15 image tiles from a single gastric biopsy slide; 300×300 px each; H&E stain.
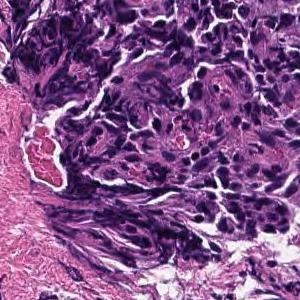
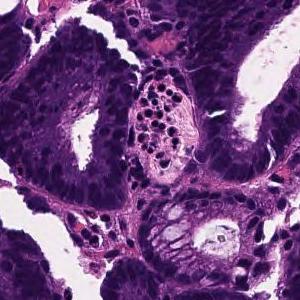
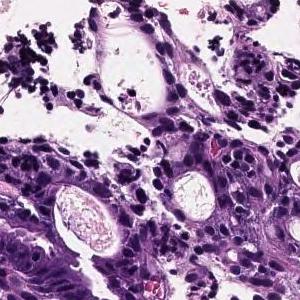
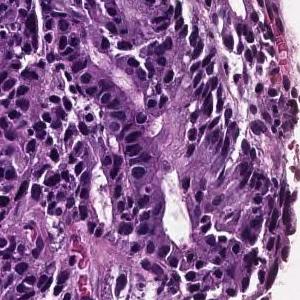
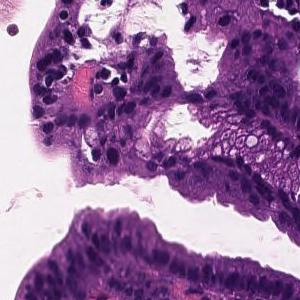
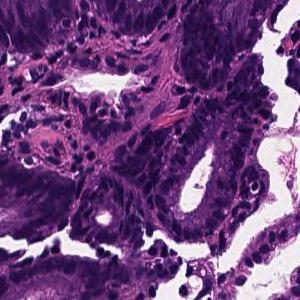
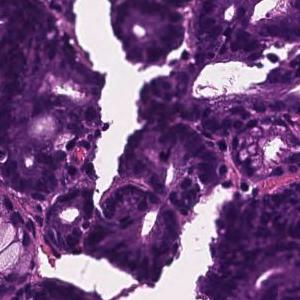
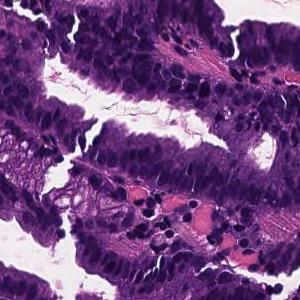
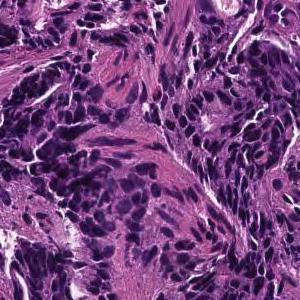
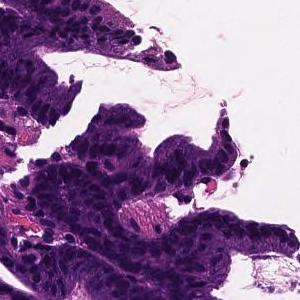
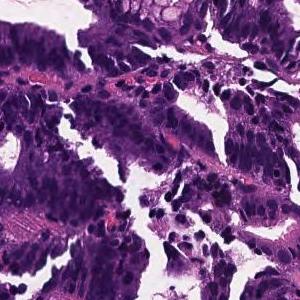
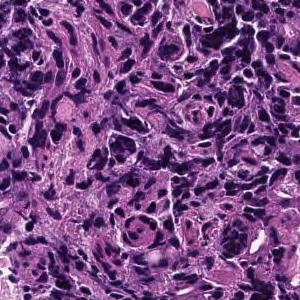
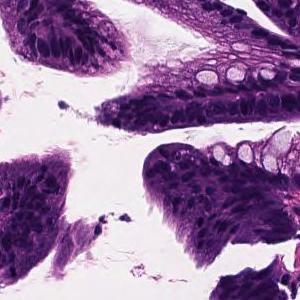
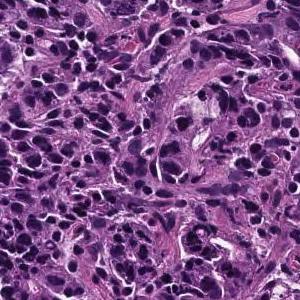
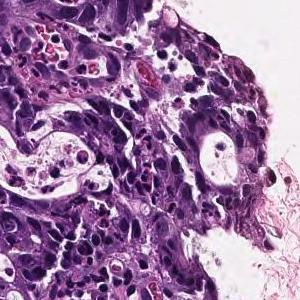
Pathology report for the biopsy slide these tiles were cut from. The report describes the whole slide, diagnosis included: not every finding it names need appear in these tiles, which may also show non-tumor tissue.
In the superficial epithelium, tumor tissue that invades by forming medium-sized to small, irregular ducts is observed. moderately differentiated tubular adenocarcinoma.
